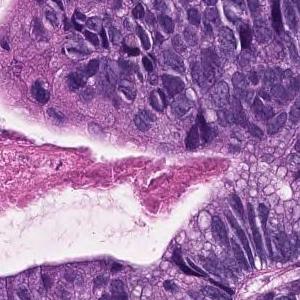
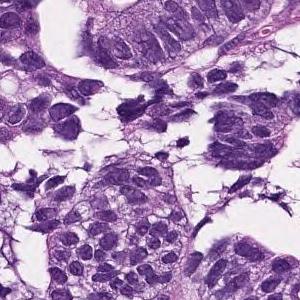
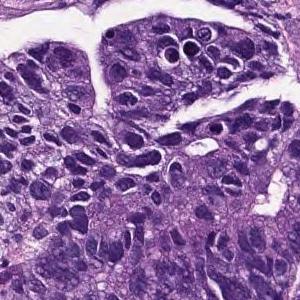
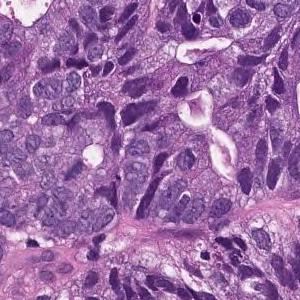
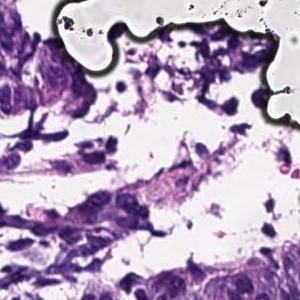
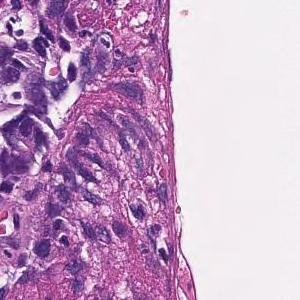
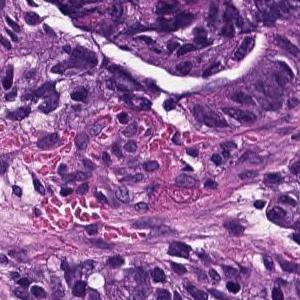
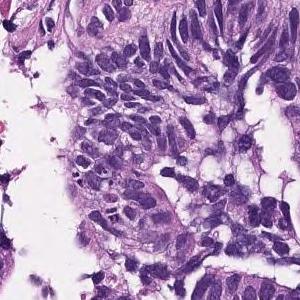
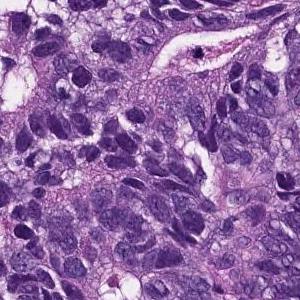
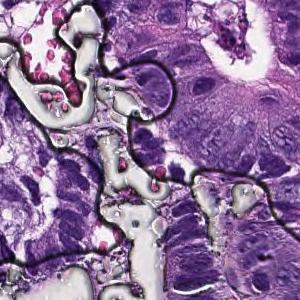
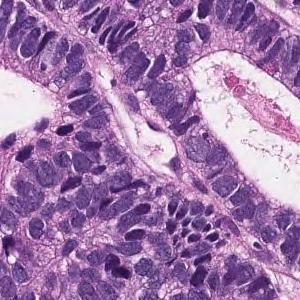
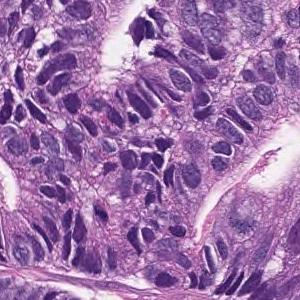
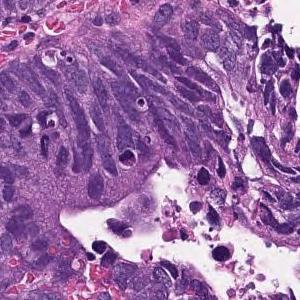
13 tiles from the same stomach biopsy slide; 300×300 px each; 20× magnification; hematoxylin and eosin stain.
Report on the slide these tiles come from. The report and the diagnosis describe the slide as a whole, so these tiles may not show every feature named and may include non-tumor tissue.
In the superficial epithelium, tumor tissue that invades by forming medium-sized to small, irregular ducts is observed. moderately differentiated tubular adenocarcinoma.
